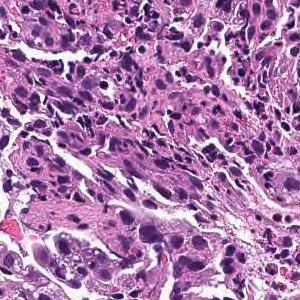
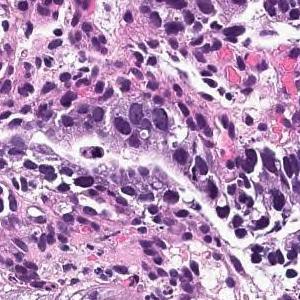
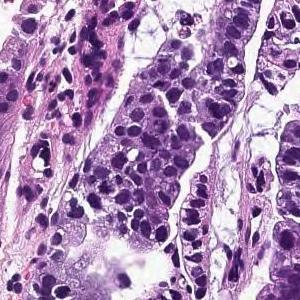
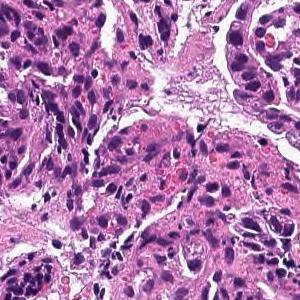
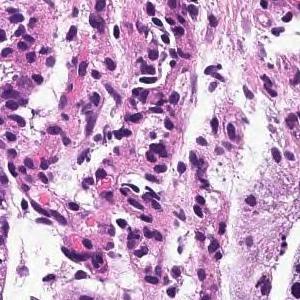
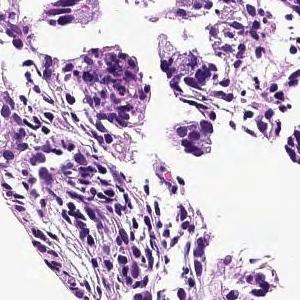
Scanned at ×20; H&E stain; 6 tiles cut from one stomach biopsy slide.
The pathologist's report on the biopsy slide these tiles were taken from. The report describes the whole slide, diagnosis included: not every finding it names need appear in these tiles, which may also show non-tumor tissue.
On the superficial epithelium, tumor tissue that infiltrates by forming medium-sized papillary or small irregular ducts is observed. Papillary adenocarcinoma
